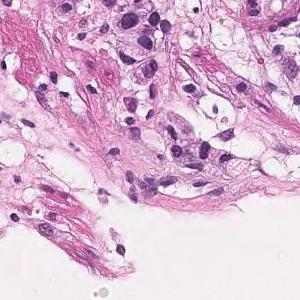
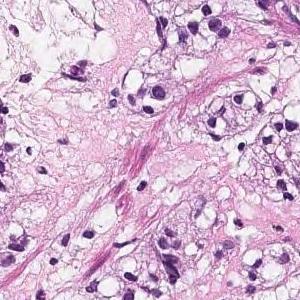
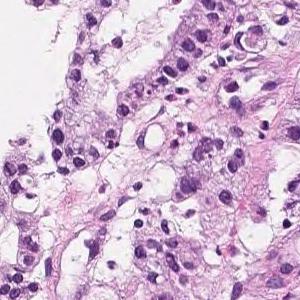
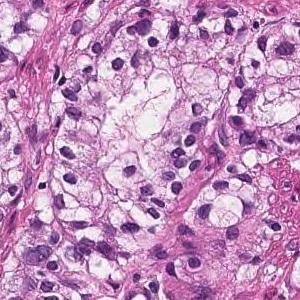
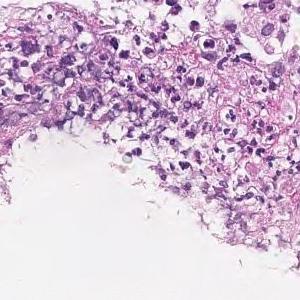
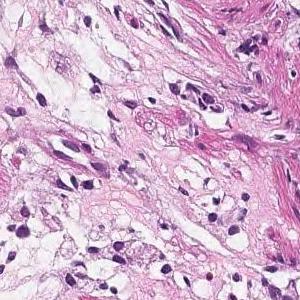
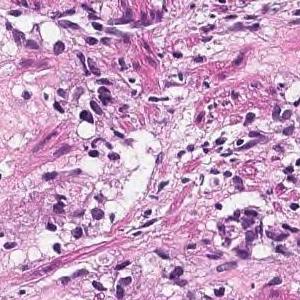
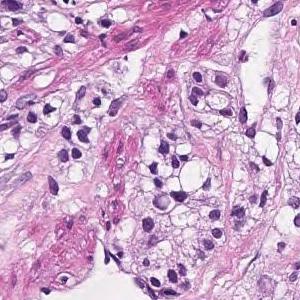
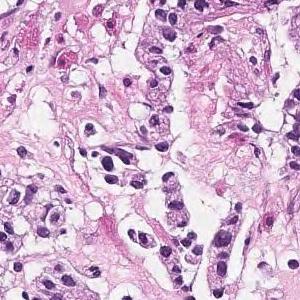
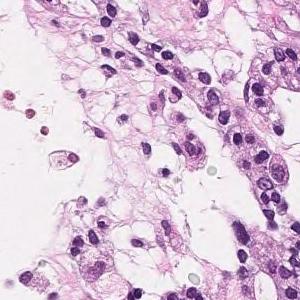
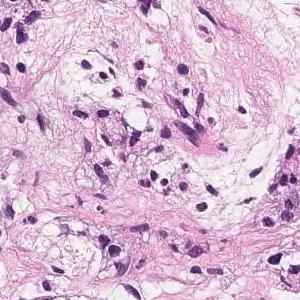
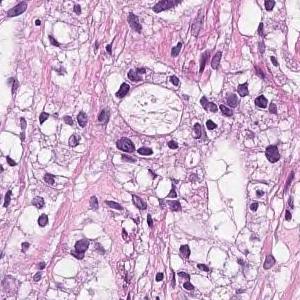
12 tiles from the same stomach biopsy slide · H&E.
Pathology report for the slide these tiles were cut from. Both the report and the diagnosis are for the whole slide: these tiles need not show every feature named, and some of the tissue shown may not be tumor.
In the superficial epithelium, tumor tissue that invades by forming medium-sized to small, irregular ducts is observed. moderately differentiated tubular adenocarcinoma.
